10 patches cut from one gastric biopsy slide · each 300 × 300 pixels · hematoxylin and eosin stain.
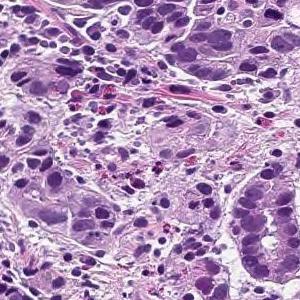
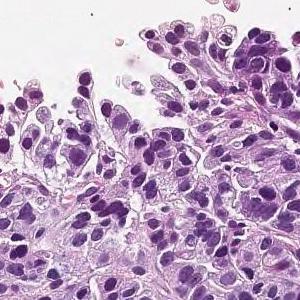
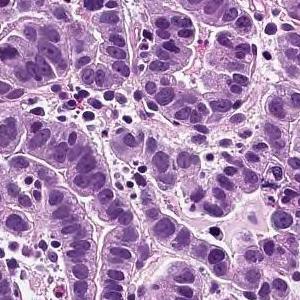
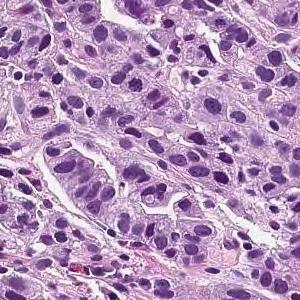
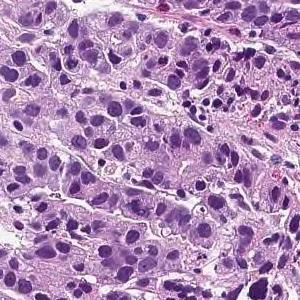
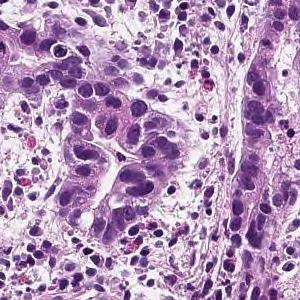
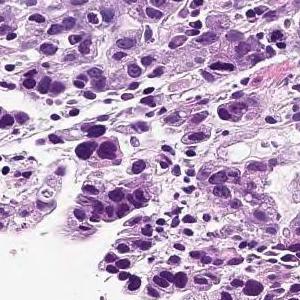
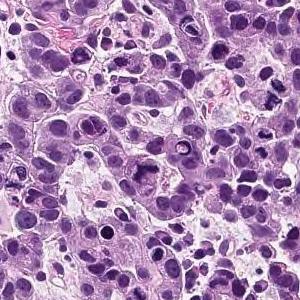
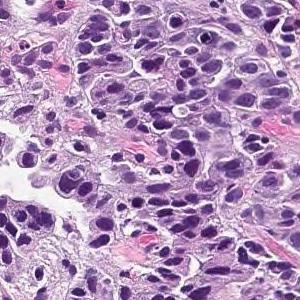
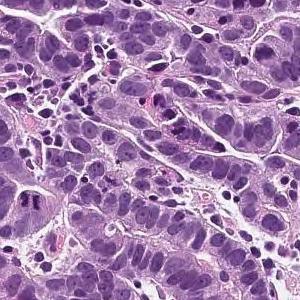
The pathologist's report on the biopsy slide these tiles were taken from. What the report and the diagnosis say applies to the whole slide; these tiles may miss some of the features named and may include tissue that is not tumor.
Tumor tissue consisting of medium-sized, cord-like or irregular glandular infiltration is observed in the superficial epithelium. Poorly differentiated adenocarcinoma, non-solid type or moderately differentiated tubular adenocarcinoma
Histologic type: Moderately to poorly differentiated adenocarcinoma.
The non-solid type named here is a Japanese Classification of Gastric Carcinoma category.
